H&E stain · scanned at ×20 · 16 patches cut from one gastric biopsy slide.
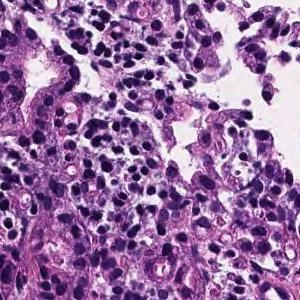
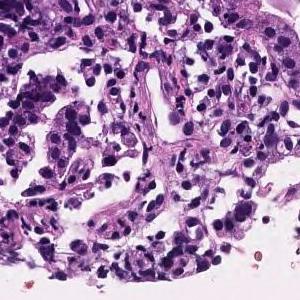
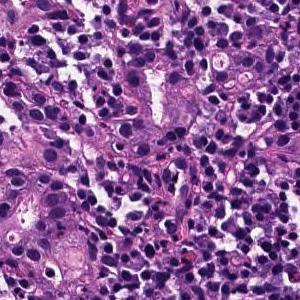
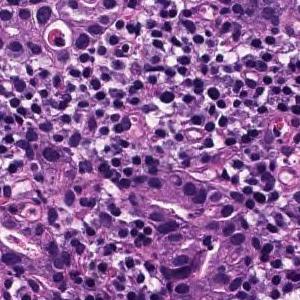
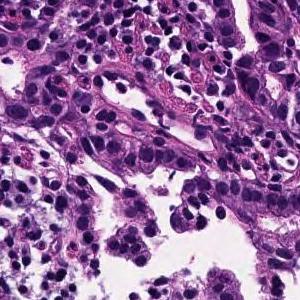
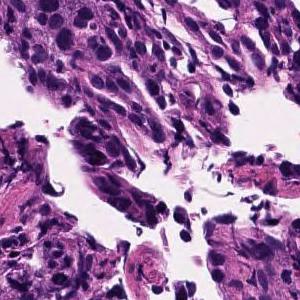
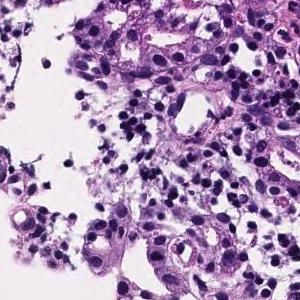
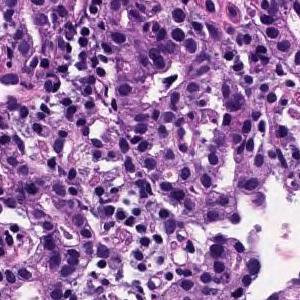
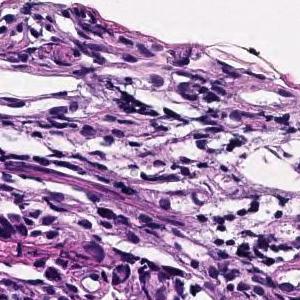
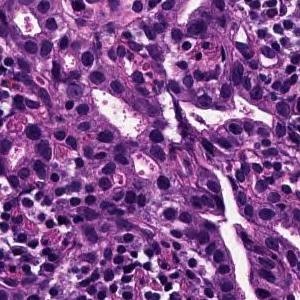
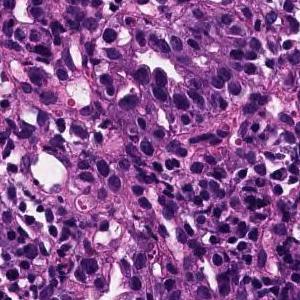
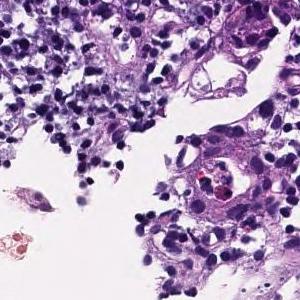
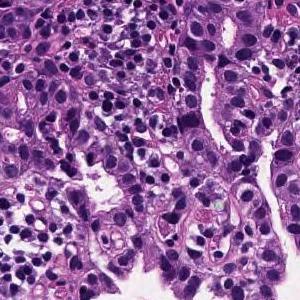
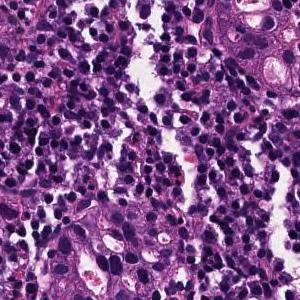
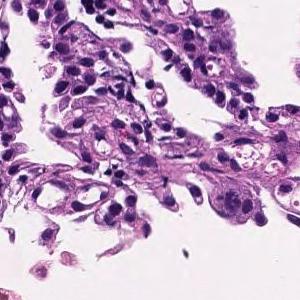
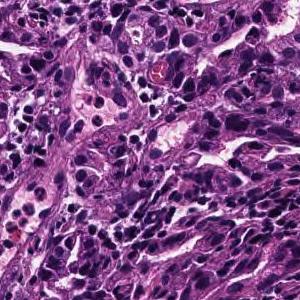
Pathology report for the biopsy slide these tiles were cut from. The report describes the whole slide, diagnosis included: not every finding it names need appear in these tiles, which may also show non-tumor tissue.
Medium to small, irregular glandular ducts are formed in the superficial epithelium, and in some cases, the glandular ducts are fused to show solid alveolar lesions and infiltrating tumor tissue is observed. Moderately to poorly differentiated adenocarcinoma.
